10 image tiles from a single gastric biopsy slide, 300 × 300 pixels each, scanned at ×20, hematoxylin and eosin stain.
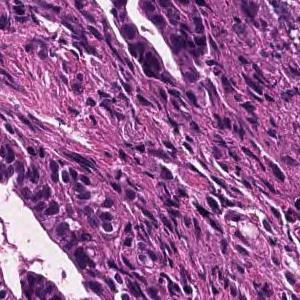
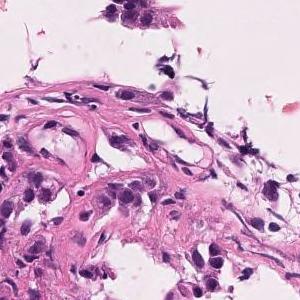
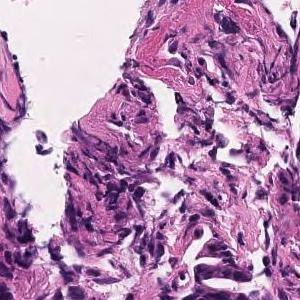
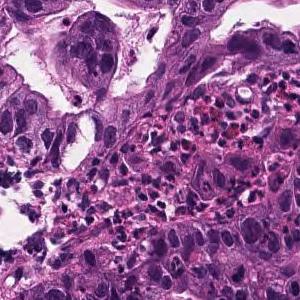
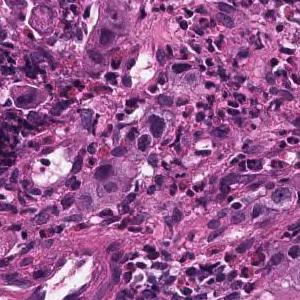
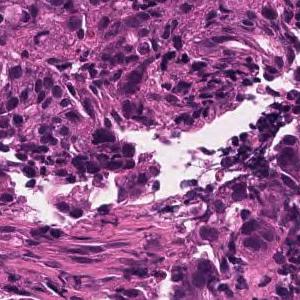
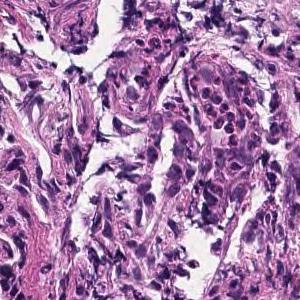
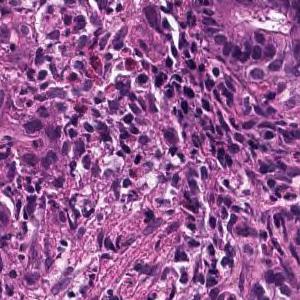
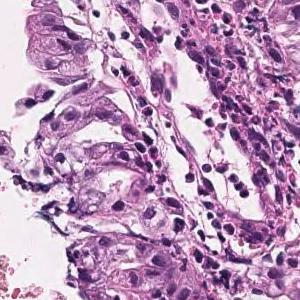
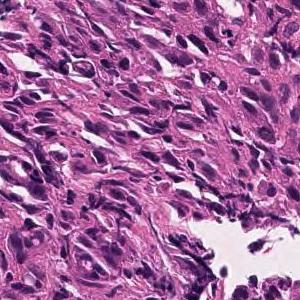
Pathology report for the slide these tiles were cut from. The findings and the diagnosis refer to the entire slide; these tiles show only part of it, possibly with non-tumor tissue, and may not show every feature named.
Tumor tissue consisting of medium-sized, cord-like or irregular glandular infiltration is observed in the superficial epithelium. Poorly differentiated adenocarcinoma, non-solid type or moderately differentiated tubular adenocarcinoma
The non-solid type named here is a Japanese Classification of Gastric Carcinoma category.
